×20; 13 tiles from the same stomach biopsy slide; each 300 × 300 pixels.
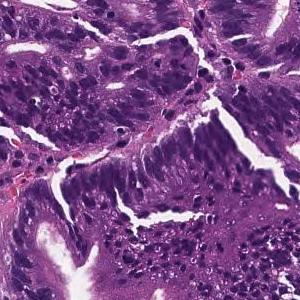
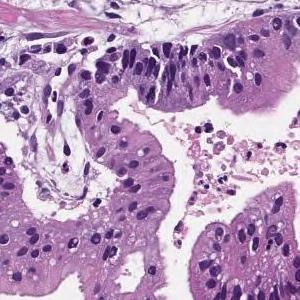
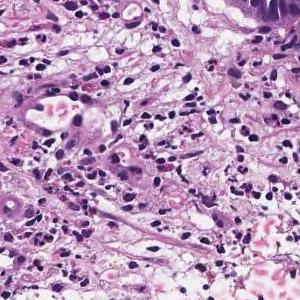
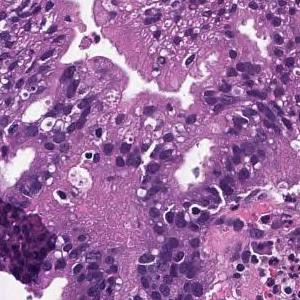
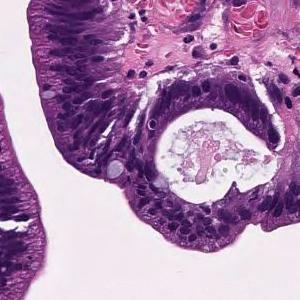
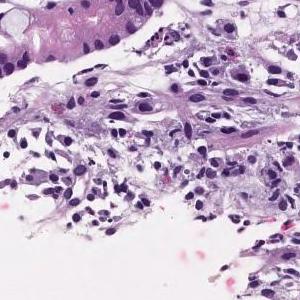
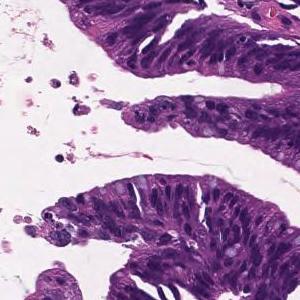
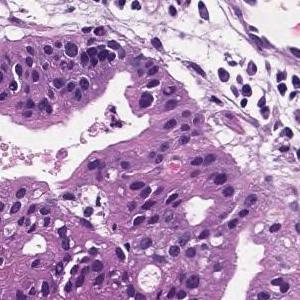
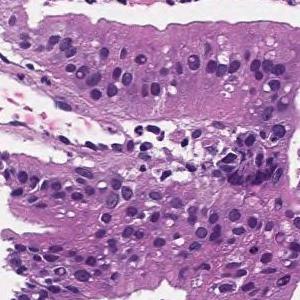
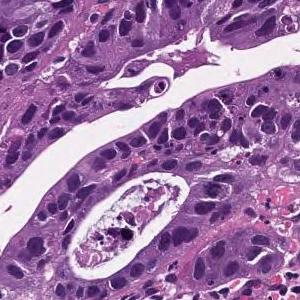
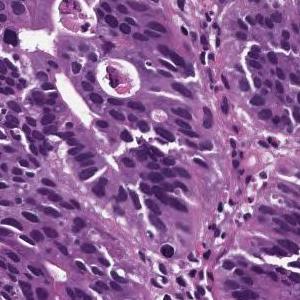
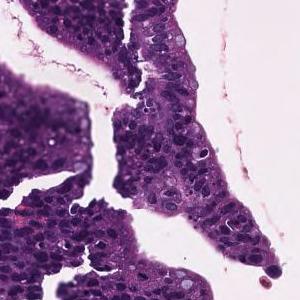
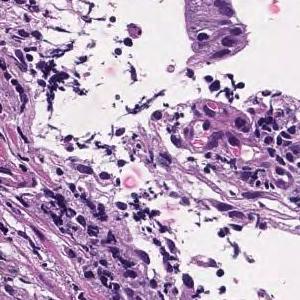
Pathology report for the slide these tiles were cut from. The findings and the diagnosis refer to the entire slide; these tiles show only part of it, possibly with non-tumor tissue, and may not show every feature named.
Tumor cells are large, highly columnar, large club-shaped nuclei, and are associated with chromatin aggregation. Papillary adenocarcinoma.
